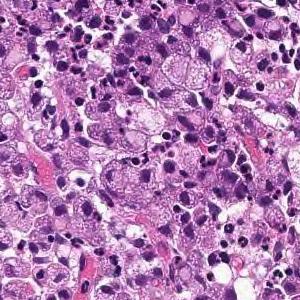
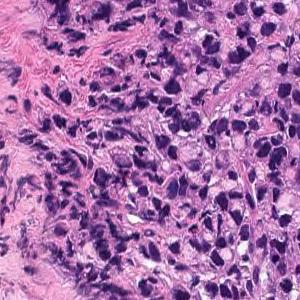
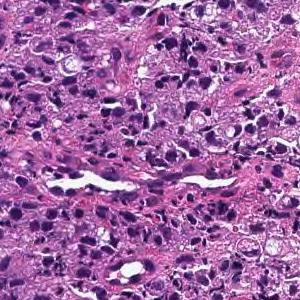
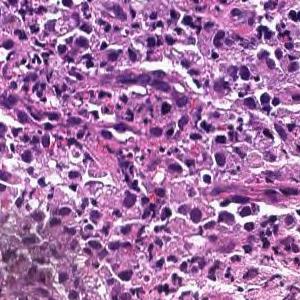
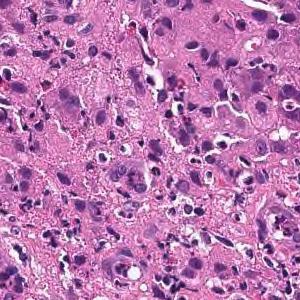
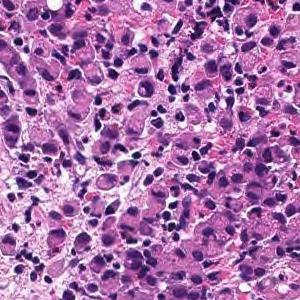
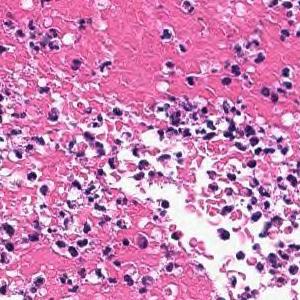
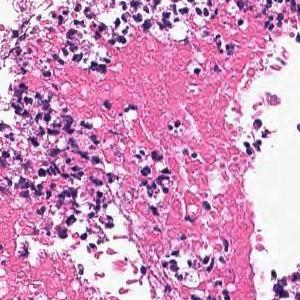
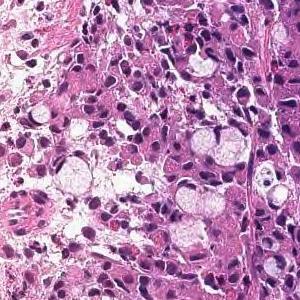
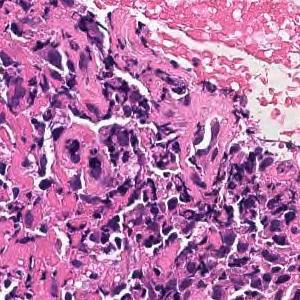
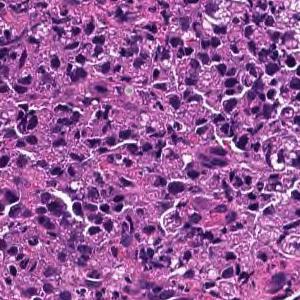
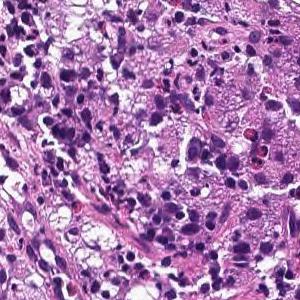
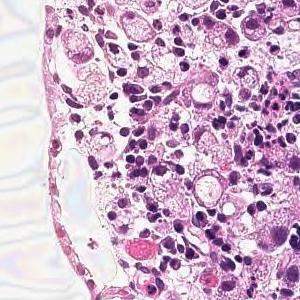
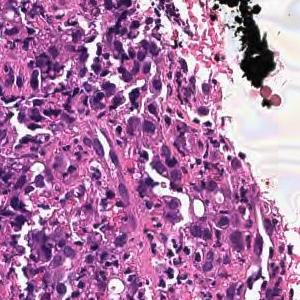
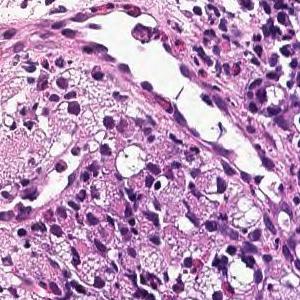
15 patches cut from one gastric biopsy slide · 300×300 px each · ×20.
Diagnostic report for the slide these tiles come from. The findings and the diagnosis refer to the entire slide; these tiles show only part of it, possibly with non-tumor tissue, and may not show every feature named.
Tumor tissue consisting of diffusely infiltrated large atypical epithelial cells or signet ring atypical cells is observed in the superficial epithelium. Poorly differentiated adenocarcinoma, solid-type
Histological subtype: Poorly differentiated adenocarcinoma, solid type (Japanese Classification of Gastric Carcinoma). The WHO 2019 equivalent is tubular adenocarcinoma, poorly differentiated.
